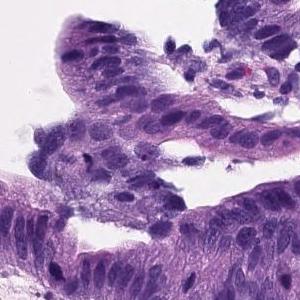
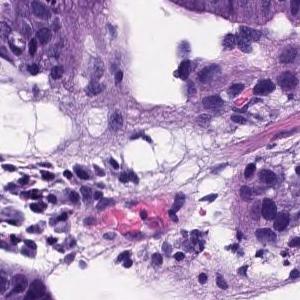
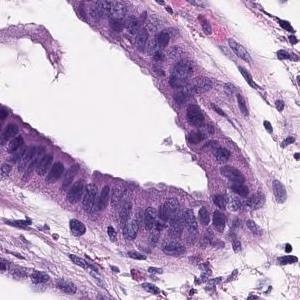
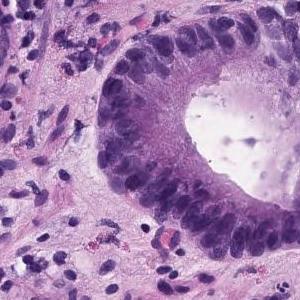
4 tiles from the same stomach biopsy slide; 300×300 px each; hematoxylin and eosin stain; 20× magnification.
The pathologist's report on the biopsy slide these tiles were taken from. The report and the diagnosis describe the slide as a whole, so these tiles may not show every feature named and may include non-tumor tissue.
Tumor tissue consisting of large papillary structures is found in the superficial epithelium. Papillary adenocarcinoma.
